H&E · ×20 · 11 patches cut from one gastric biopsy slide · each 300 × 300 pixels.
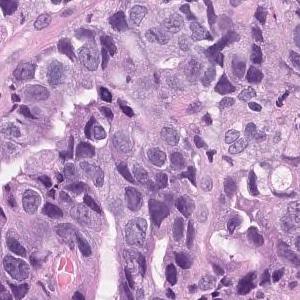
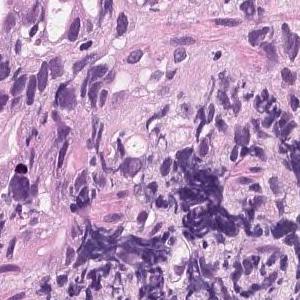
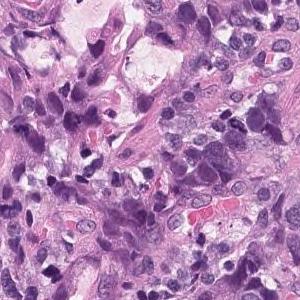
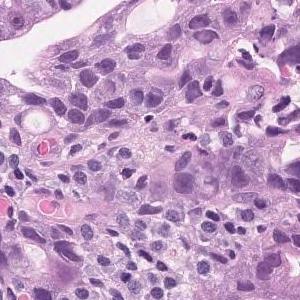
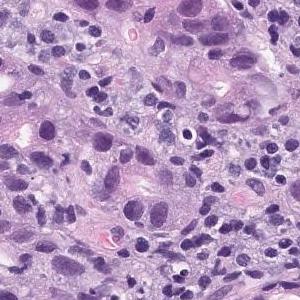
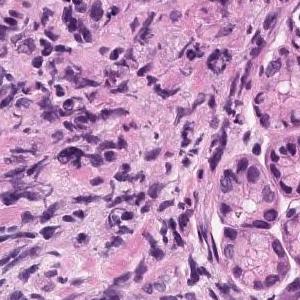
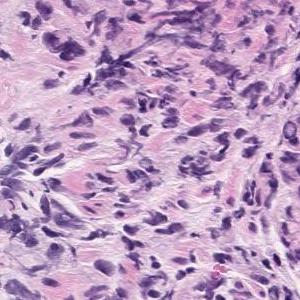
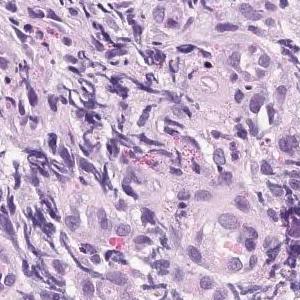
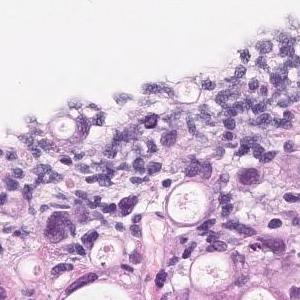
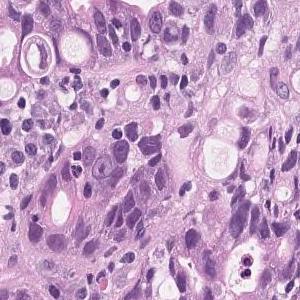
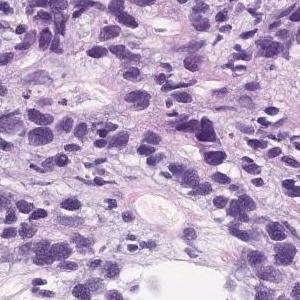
Pathology report for the slide these tiles were cut from. The report and the diagnosis describe the slide as a whole, so these tiles may not show every feature named and may include non-tumor tissue.
Tumor tissue consisting of medium-sized, cord-like or irregular glandular infiltration is observed in the superficial epithelium. Poorly differentiated adenocarcinoma, non-solid type or moderately differentiated tubular adenocarcinoma
Labeled in the dataset as poorly differentiated adenocarcinoma, non-solid type.
"Non-solid type" is a category of the Japanese Classification of Gastric Carcinoma.
